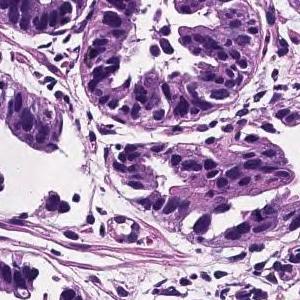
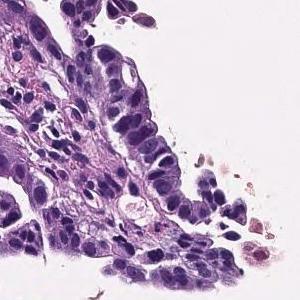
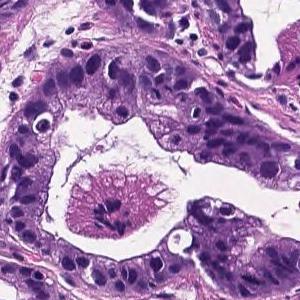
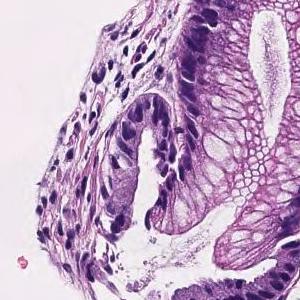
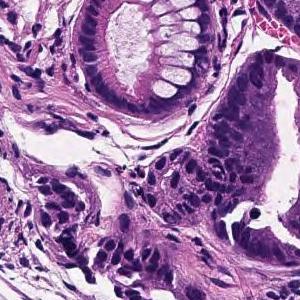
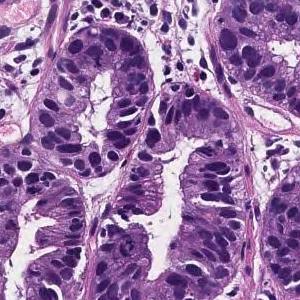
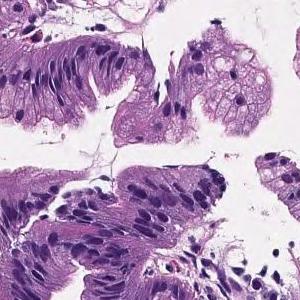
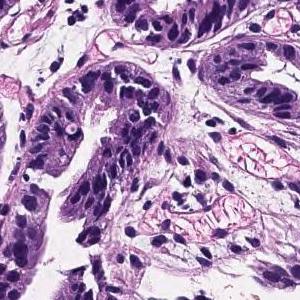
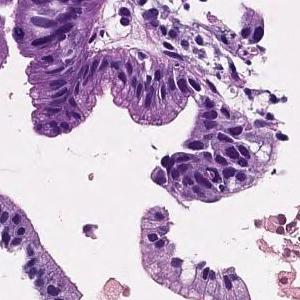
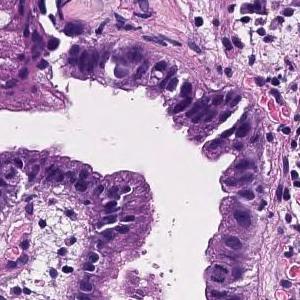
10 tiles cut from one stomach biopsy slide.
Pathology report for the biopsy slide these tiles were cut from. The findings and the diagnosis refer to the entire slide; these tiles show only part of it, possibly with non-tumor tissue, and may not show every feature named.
Tumor cells are large, highly columnar, large club-shaped nuclei, and are associated with chromatin aggregation. Papillary adenocarcinoma.
